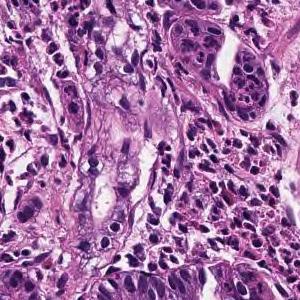
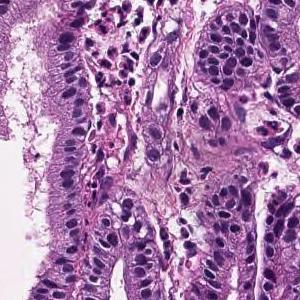
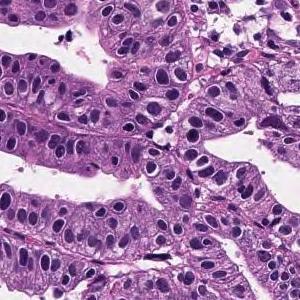
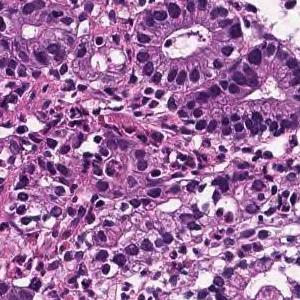
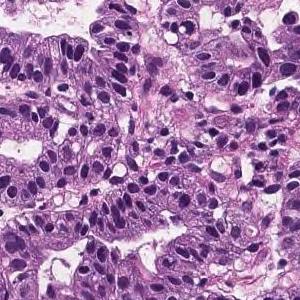
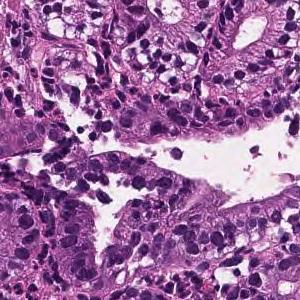
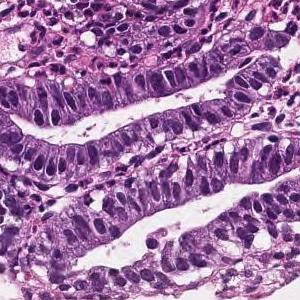
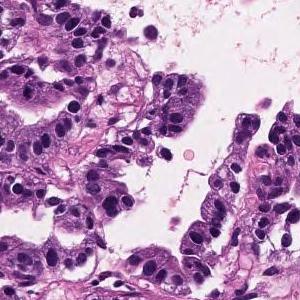
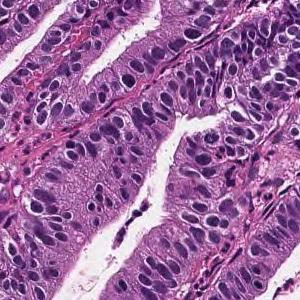
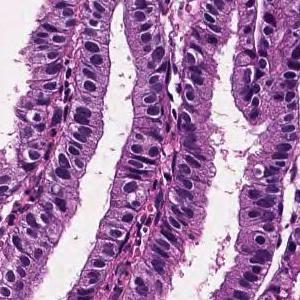
20× magnification, hematoxylin and eosin stain, 10 image tiles from a single gastric biopsy slide, 300 × 300 pixels each.
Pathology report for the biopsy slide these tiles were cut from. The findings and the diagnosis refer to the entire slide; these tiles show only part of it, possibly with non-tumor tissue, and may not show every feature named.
On the superficial epithelium, tumor tissue that infiltrates by forming medium-sized round or small irregular ducts is observed. Papillary adenocarcinoma
